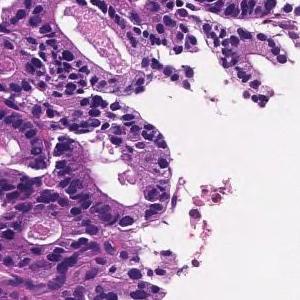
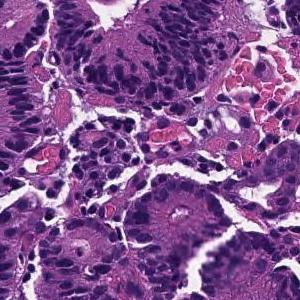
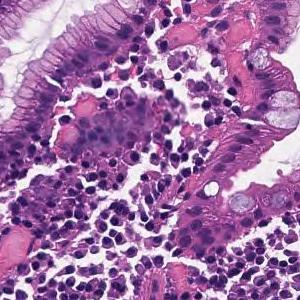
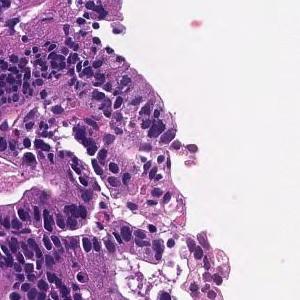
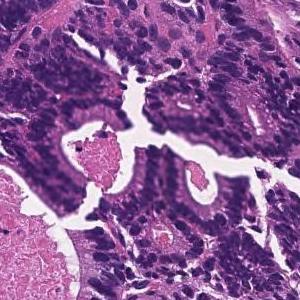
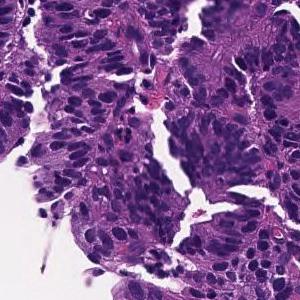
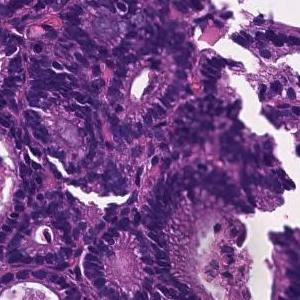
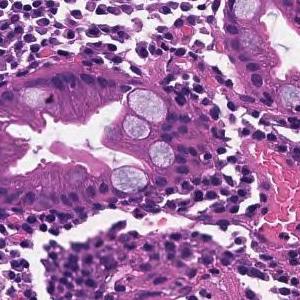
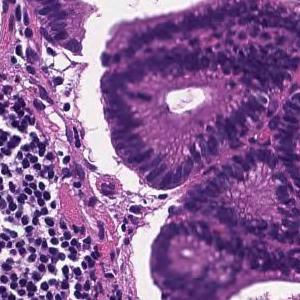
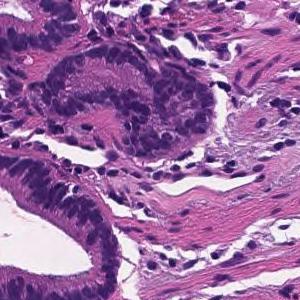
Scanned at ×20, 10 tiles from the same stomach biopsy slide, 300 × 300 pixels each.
Pathology report for the biopsy slide these tiles were cut from. Both the report and the diagnosis are for the whole slide: these tiles need not show every feature named, and some of the tissue shown may not be tumor.
From the superficial epithelium to the muscularis mucosae, tumor tissue consisting of medium-sized and irregular glandular ducts infiltrating is observed. Well differentiated tubular adenocarcinoma
